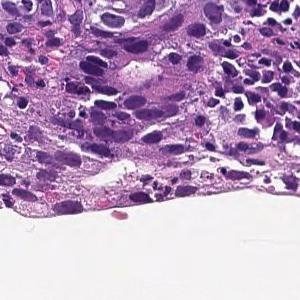
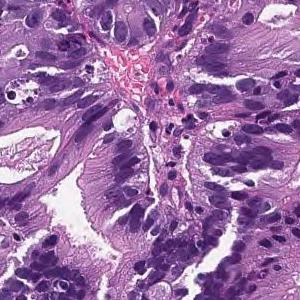
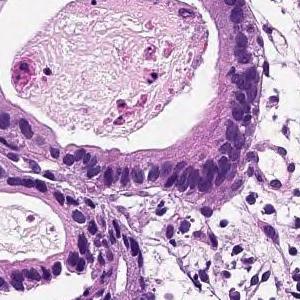
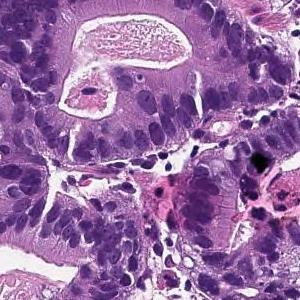
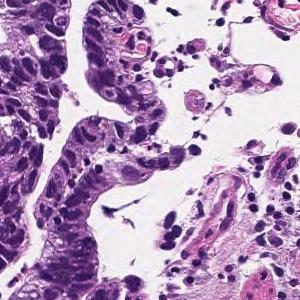
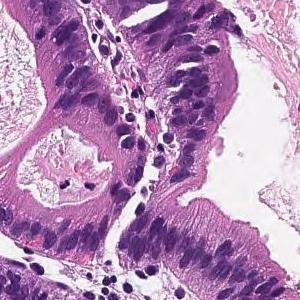
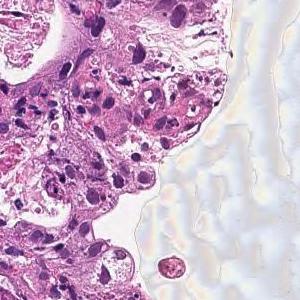
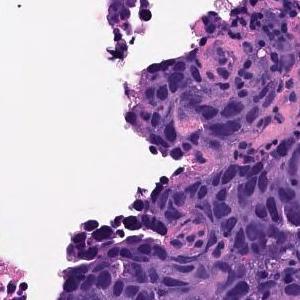
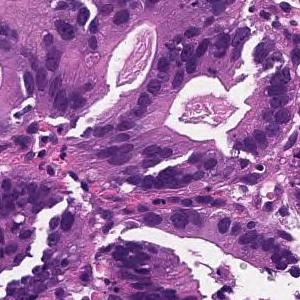
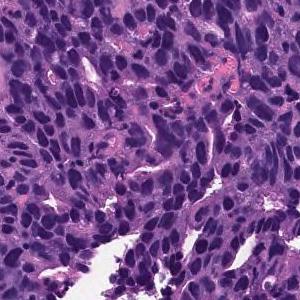
Hematoxylin and eosin stain · 20× magnification · 10 patches cut from one gastric biopsy slide.
The pathologist's report on the biopsy slide these tiles were taken from. The findings and the diagnosis refer to the entire slide; these tiles show only part of it, possibly with non-tumor tissue, and may not show every feature named.
In the superficial epithelium, tumor tissue that invades by forming medium-sized to small, irregular ducts is observed. moderately differentiated tubular adenocarcinoma.
